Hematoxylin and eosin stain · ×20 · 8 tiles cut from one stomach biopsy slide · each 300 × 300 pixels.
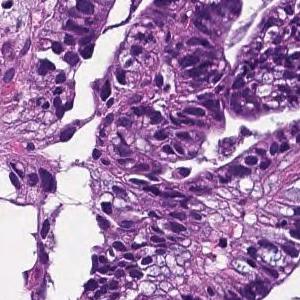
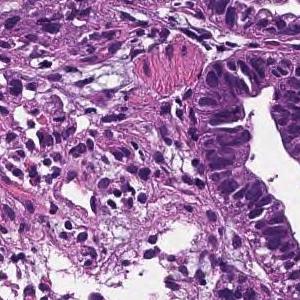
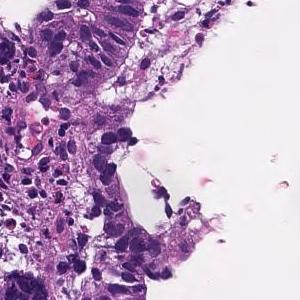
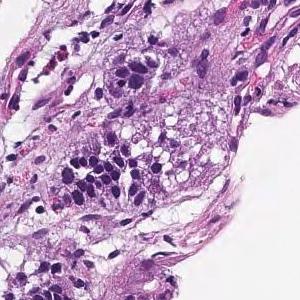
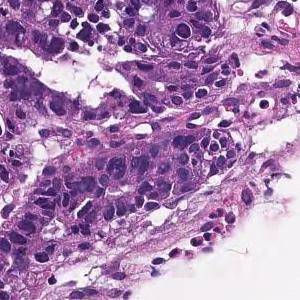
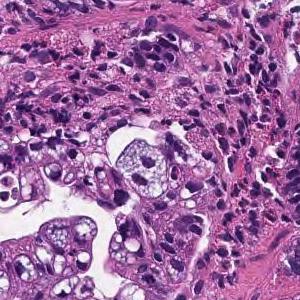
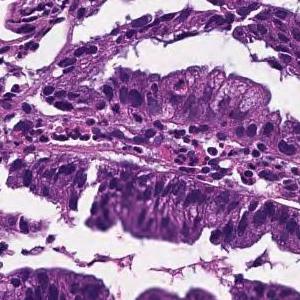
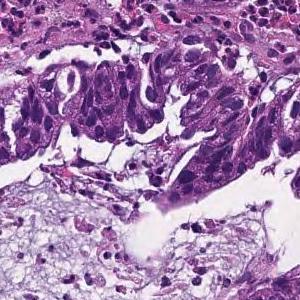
Diagnostic report for the slide these tiles come from. What the report and the diagnosis say applies to the whole slide; these tiles may miss some of the features named and may include tissue that is not tumor.
From the superficial epithelium to the muscularis mucosae, tumor tissue consisting of medium-sized and irregular glandular ducts infiltrating is observed. Well differentiated tubular adenocarcinoma
